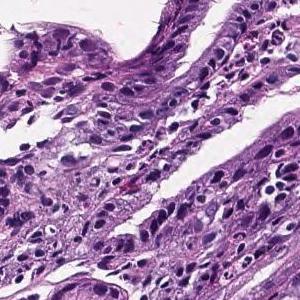
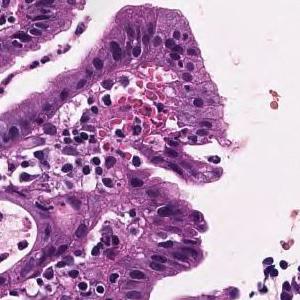
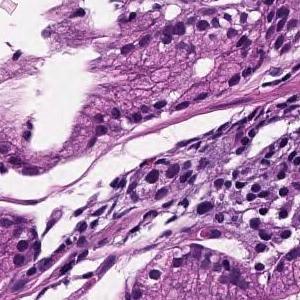
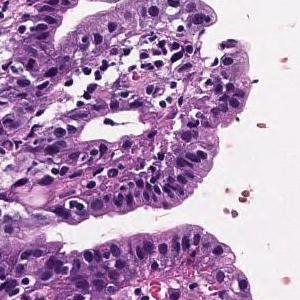
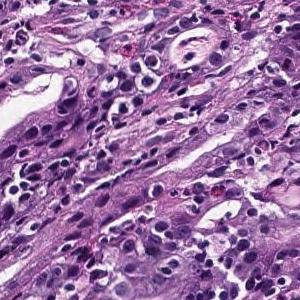
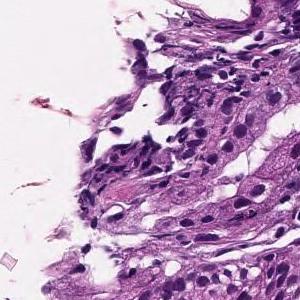
6 tiles from the same stomach biopsy slide, each 300 × 300 pixels, scanned at ×20, H&E.
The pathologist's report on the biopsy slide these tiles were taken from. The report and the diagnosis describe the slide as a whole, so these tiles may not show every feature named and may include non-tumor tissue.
In the superficial epithelium, tumor tissue that invades by forming medium-sized to small, irregular ducts is observed. moderately differentiated tubular adenocarcinoma.
